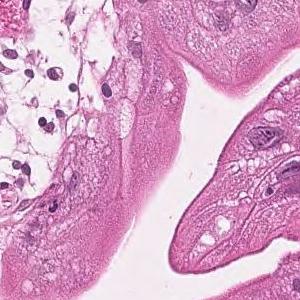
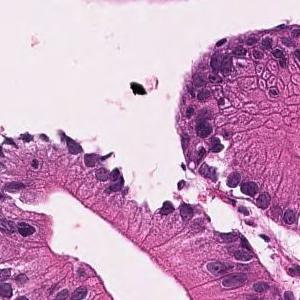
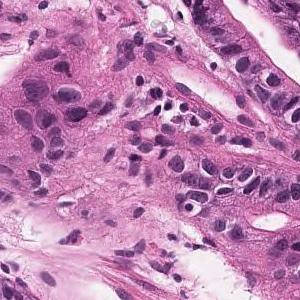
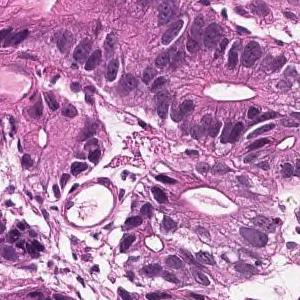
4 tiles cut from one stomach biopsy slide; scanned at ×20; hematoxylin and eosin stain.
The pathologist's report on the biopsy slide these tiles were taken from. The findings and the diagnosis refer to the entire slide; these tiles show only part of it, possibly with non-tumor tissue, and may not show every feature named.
On the superficial epithelium, tumor tissue that infiltrates by forming medium-sized papillary or small irregular ducts is observed. Papillary adenocarcinoma
